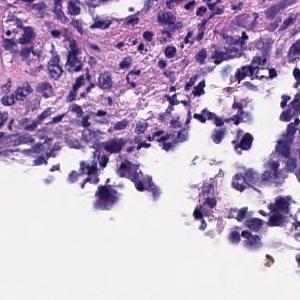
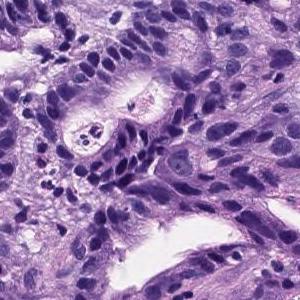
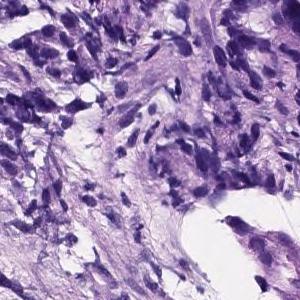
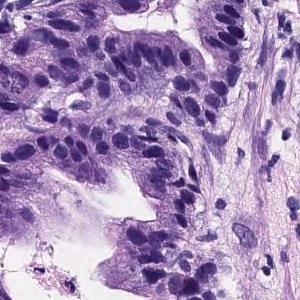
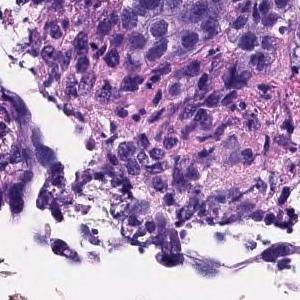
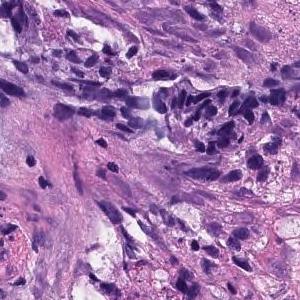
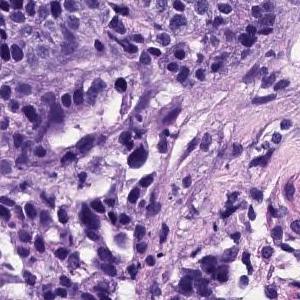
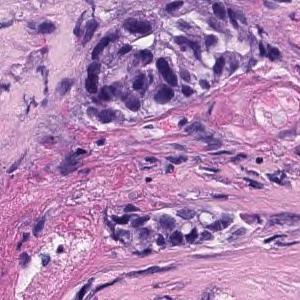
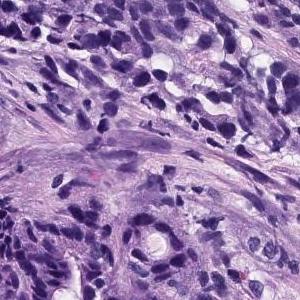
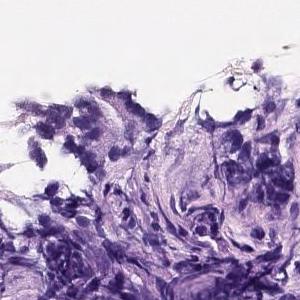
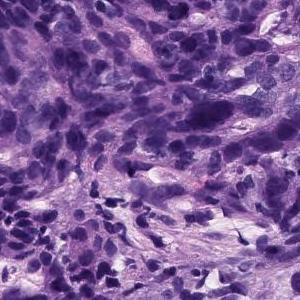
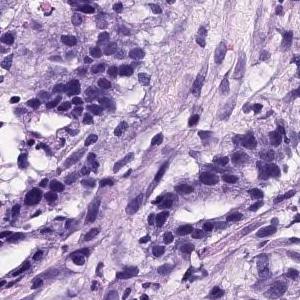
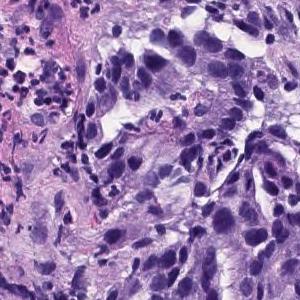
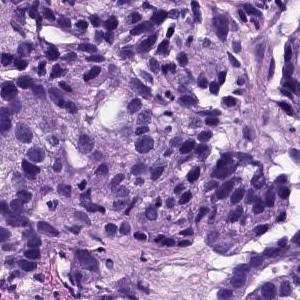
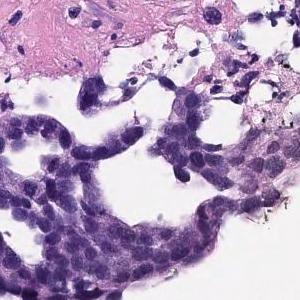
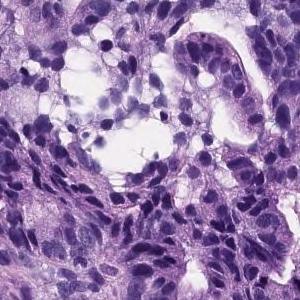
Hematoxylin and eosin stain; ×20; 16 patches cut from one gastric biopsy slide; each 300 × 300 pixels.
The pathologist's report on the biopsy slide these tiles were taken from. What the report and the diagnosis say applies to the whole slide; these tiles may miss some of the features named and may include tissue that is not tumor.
In the superficial epithelium, tumor tissue that invades by forming medium-sized to small, irregular ducts is observed. Tumor cells are columnar or cuboidal in shape. Moderately differentiated adenocarcinoma.
Histological subtype: Moderately differentiated tubular adenocarcinoma.
